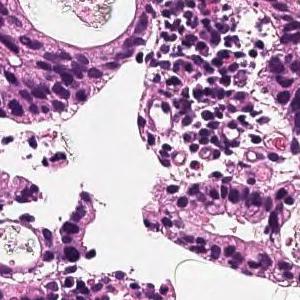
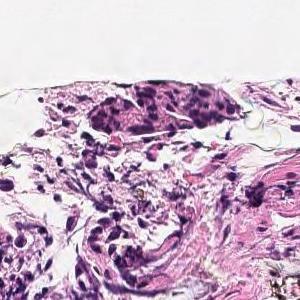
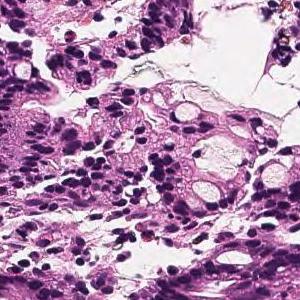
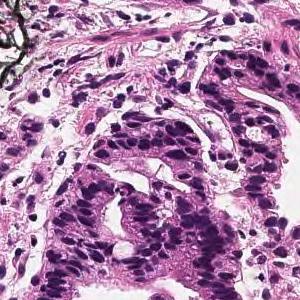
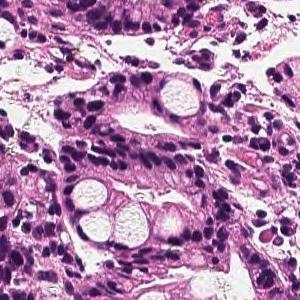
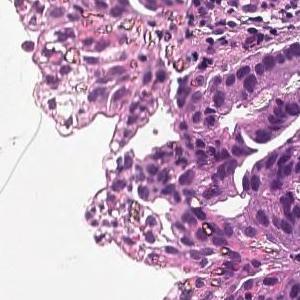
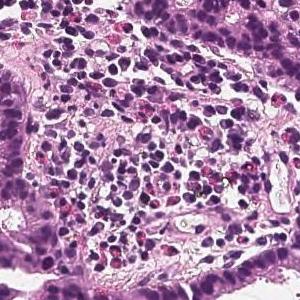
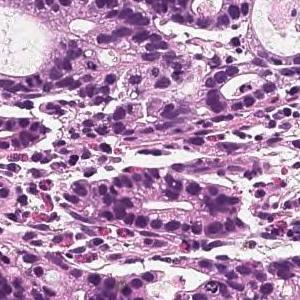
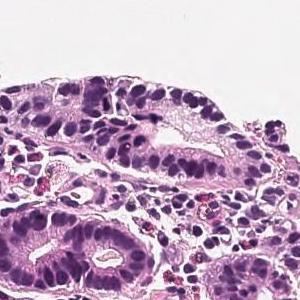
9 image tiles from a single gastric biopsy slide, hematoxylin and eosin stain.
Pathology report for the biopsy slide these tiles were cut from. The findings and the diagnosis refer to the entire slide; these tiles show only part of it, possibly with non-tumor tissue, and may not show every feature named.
In the superficial epithelium, tumor tissue that invades by forming medium-sized to small, irregular ducts is observed. moderately differentiated tubular adenocarcinoma.
